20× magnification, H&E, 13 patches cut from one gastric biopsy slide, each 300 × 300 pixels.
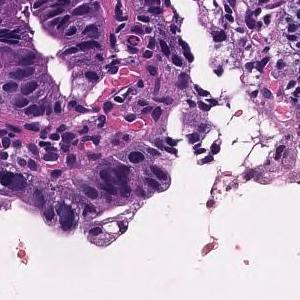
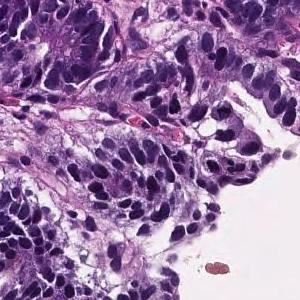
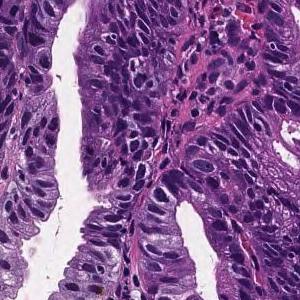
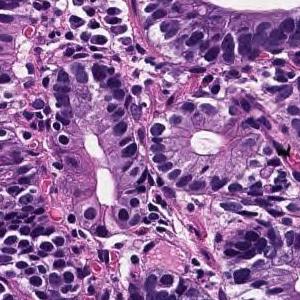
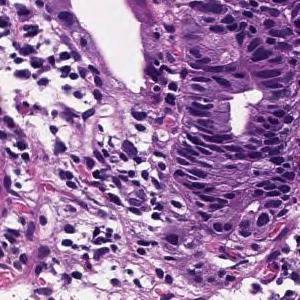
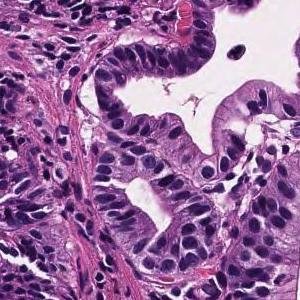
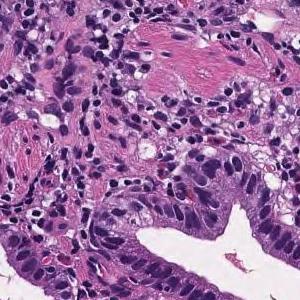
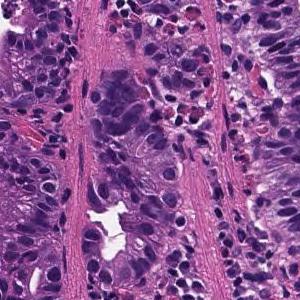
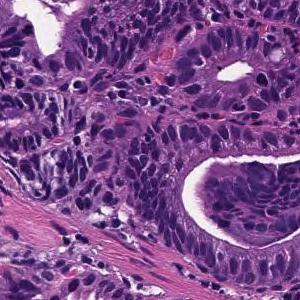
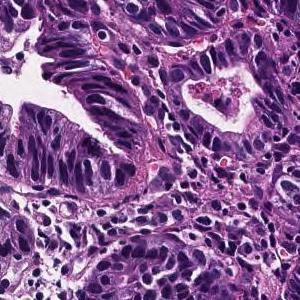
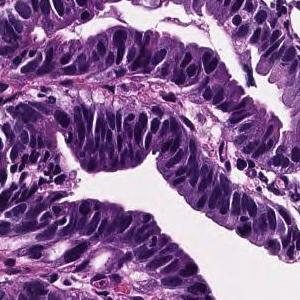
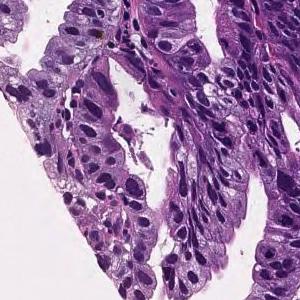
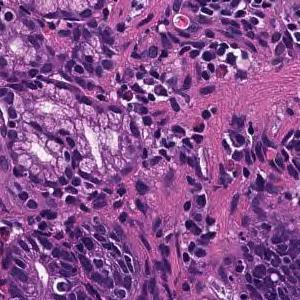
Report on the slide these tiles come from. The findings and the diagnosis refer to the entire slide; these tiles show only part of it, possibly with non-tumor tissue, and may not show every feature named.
In the superficial epithelium, tumor tissue that invades by forming medium-sized to small, irregular ducts is observed. Well differentiated tubular adenocarcinoma.
